×20; 4 patches cut from one gastric biopsy slide; 300×300 px each.
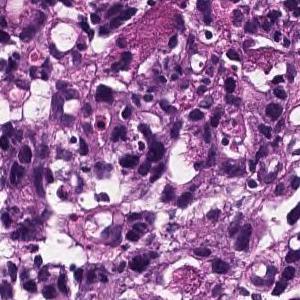
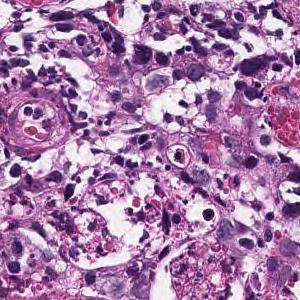
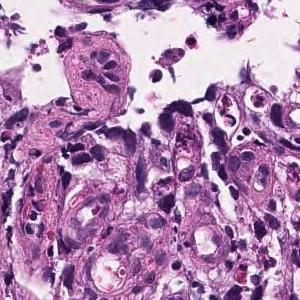
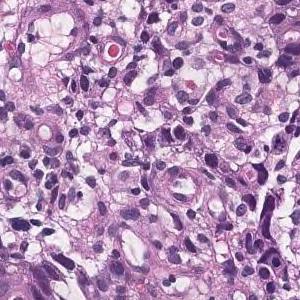
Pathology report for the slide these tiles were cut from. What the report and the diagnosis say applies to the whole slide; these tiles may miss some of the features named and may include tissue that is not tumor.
Tumor tissue consisting of medium-sized, cord-like or irregular glandular infiltration is observed in the superficial epithelium. Poorly differentiated adenocarcinoma, non-solid type or moderately differentiated tubular adenocarcinoma
The term "non-solid type" comes from the Japanese Classification of Gastric Carcinoma.
